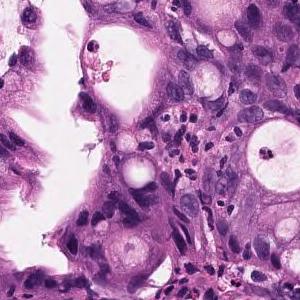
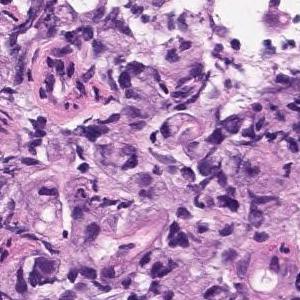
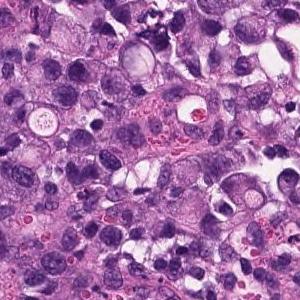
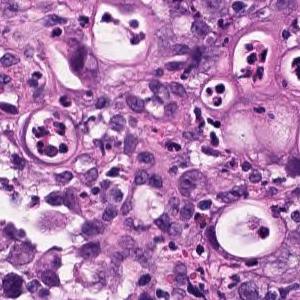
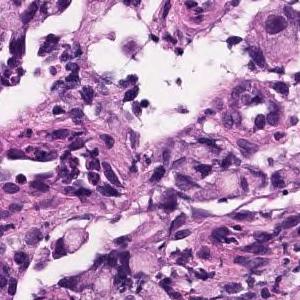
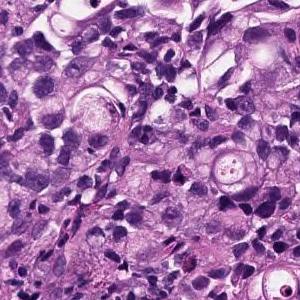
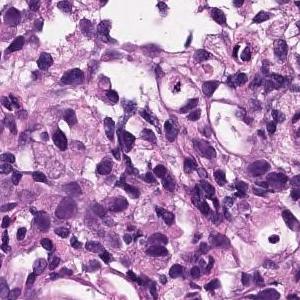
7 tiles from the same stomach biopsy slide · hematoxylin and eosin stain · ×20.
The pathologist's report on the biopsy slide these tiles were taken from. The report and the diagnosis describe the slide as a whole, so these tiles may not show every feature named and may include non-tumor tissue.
Atypical epithelium forms irregularly fused gland ducts and proliferates. Poorly differentiated adenocarcinoma.
Histological subtype: Poorly differentiated adenocarcinoma, non-solid type.
The term "non-solid type" comes from the Japanese Classification of Gastric Carcinoma.
